H&E · scanned at ×20 · 4 tiles cut from one stomach biopsy slide.
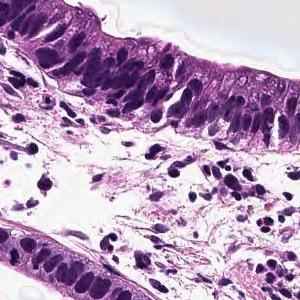
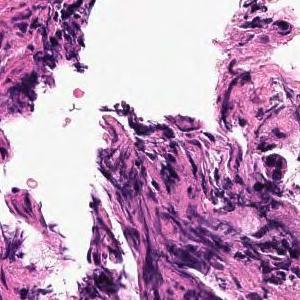
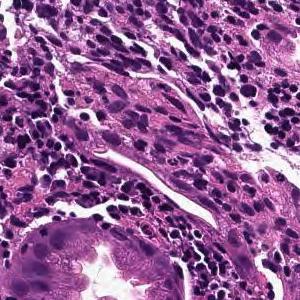
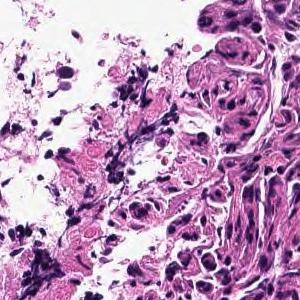
Report on the slide these tiles come from. The report describes the whole slide, diagnosis included: not every finding it names need appear in these tiles, which may also show non-tumor tissue.
On the superficial epithelium, tumor tissue that infiltrates by forming medium-sized papillary or small irregular ducts is observed. Papillary adenocarcinoma
